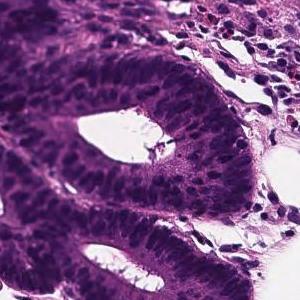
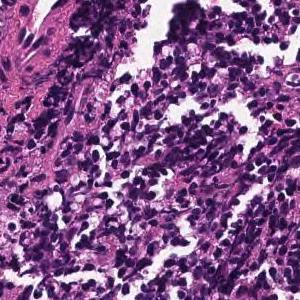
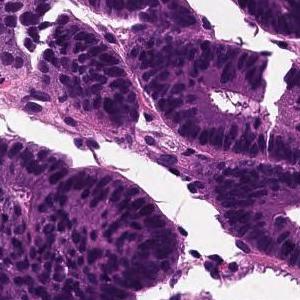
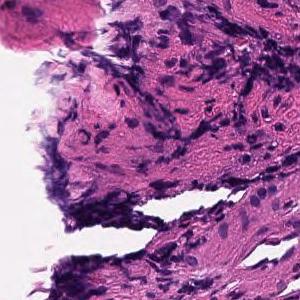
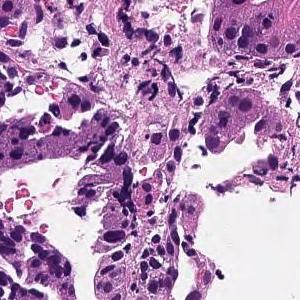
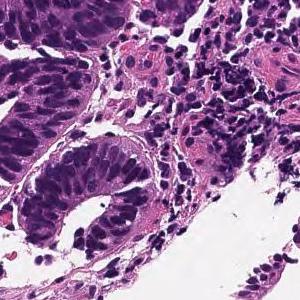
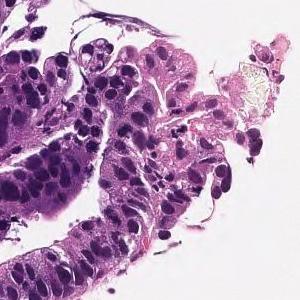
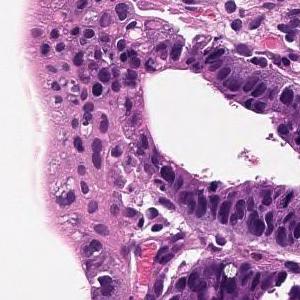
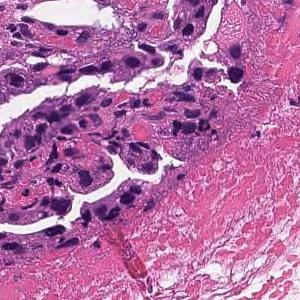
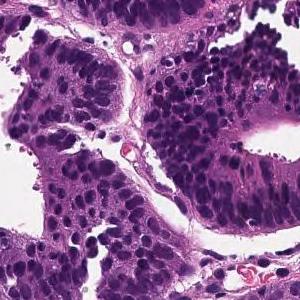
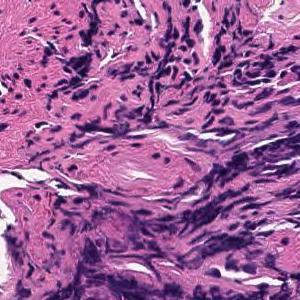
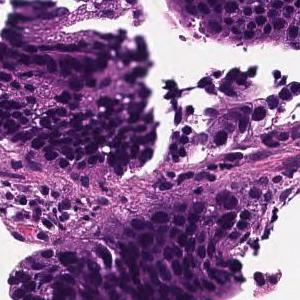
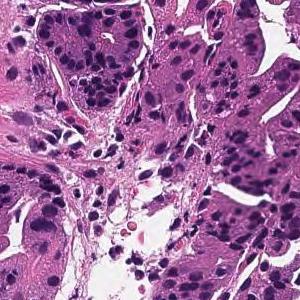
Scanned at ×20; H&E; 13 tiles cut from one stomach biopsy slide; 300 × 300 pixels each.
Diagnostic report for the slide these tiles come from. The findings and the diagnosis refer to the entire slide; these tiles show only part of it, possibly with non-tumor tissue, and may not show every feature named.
Tumor cells are large, highly columnar, large club-shaped nuclei, and are associated with chromatin aggregation. Papillary adenocarcinoma.
